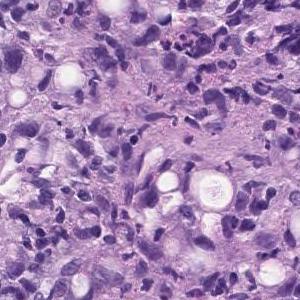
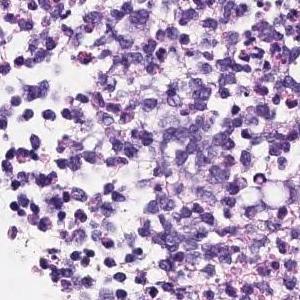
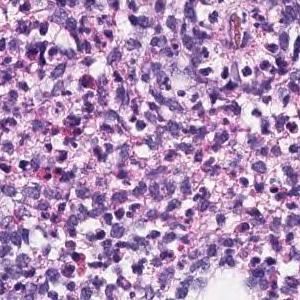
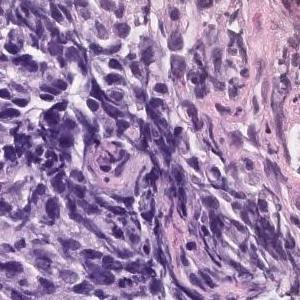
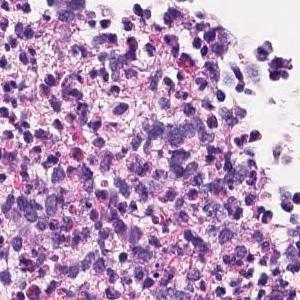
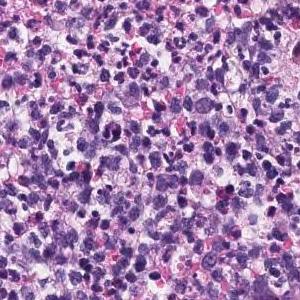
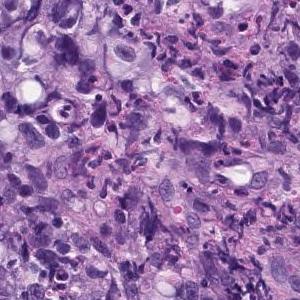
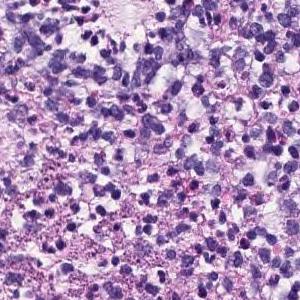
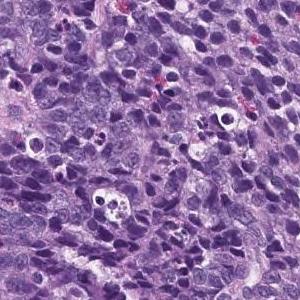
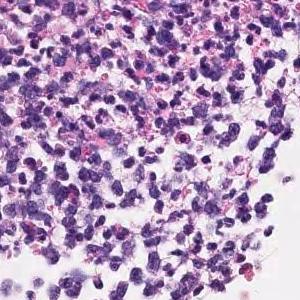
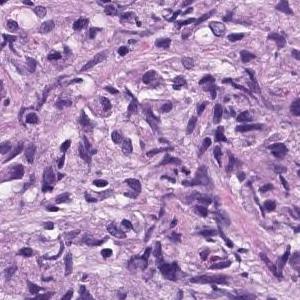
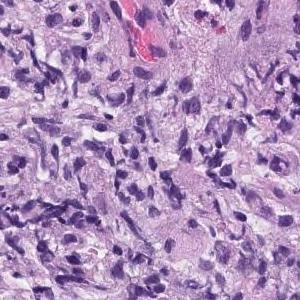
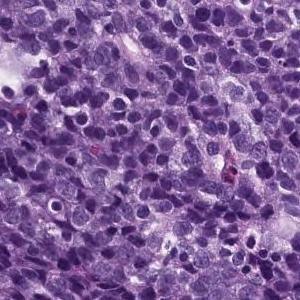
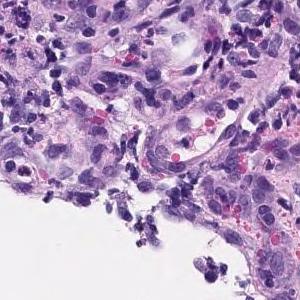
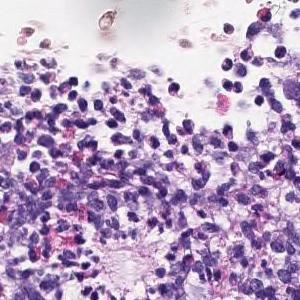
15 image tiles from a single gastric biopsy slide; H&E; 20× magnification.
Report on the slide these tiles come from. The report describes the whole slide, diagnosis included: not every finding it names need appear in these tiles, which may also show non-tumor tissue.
The superficial epithelium shows a large sheet-like shape, and some tumor tissue infiltrates with small irregular ducts. Poorly differentiated adenocarcinoma, solid-type
Histological subtype: Poorly differentiated adenocarcinoma, solid type. This name comes from the Japanese Classification of Gastric Carcinoma; the WHO 2019 classification calls it tubular adenocarcinoma, poorly differentiated.
